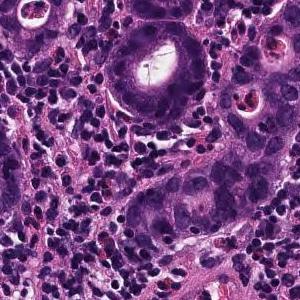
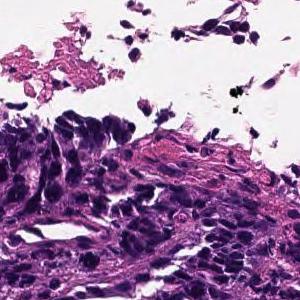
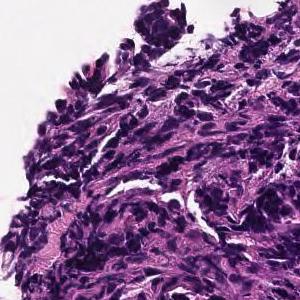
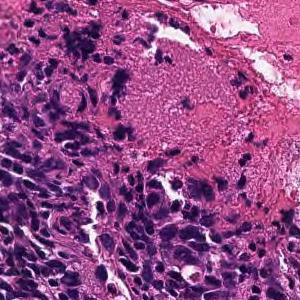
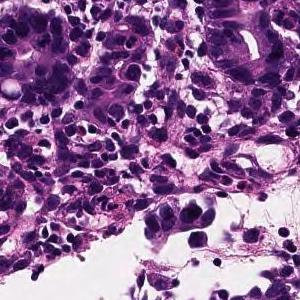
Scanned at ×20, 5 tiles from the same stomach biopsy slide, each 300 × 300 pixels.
The pathologist's report on the biopsy slide these tiles were taken from. The findings and the diagnosis refer to the entire slide; these tiles show only part of it, possibly with non-tumor tissue, and may not show every feature named.
On the superficial epithelium, tumor tissue is found in which medium-sized irregular gland ducts fuse with each other and infiltrate. moderately differentiated tubular adenocarcinoma or Poorly differentiated adenocarcinoma, non-solid type
Histological subtype: Moderately to poorly differentiated adenocarcinoma.
The term "non-solid type" comes from the Japanese Classification of Gastric Carcinoma.
